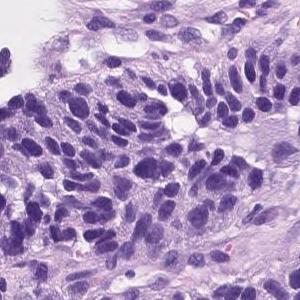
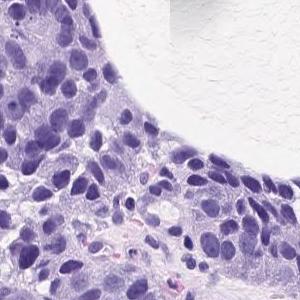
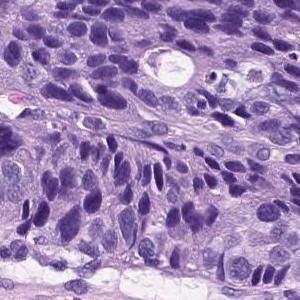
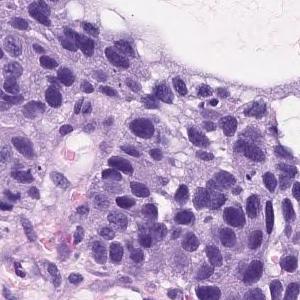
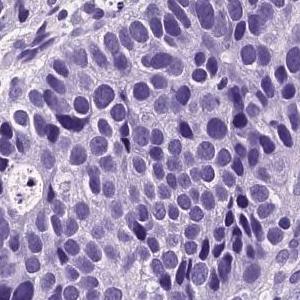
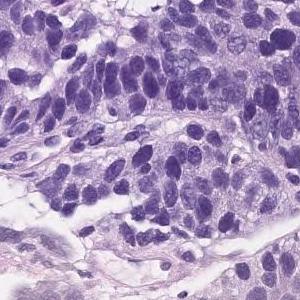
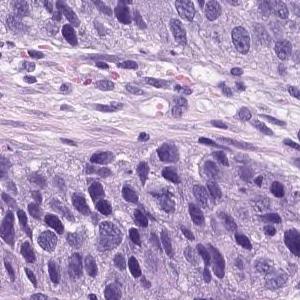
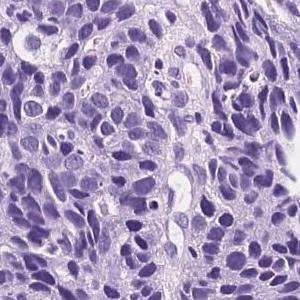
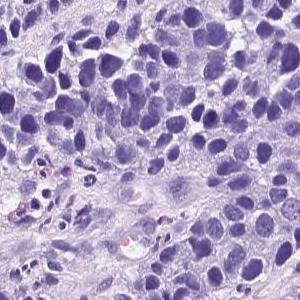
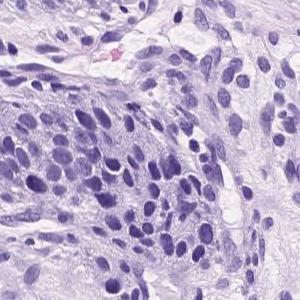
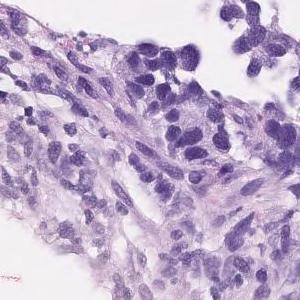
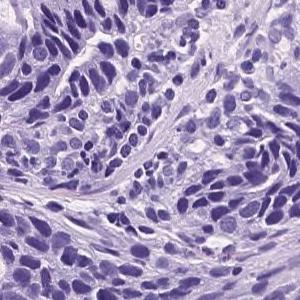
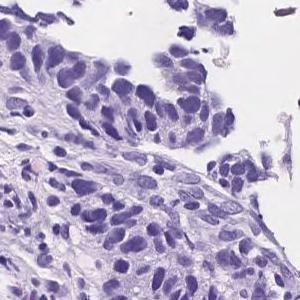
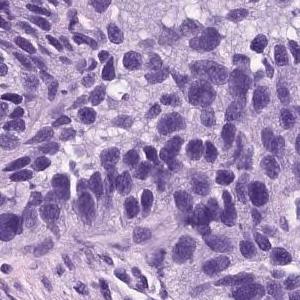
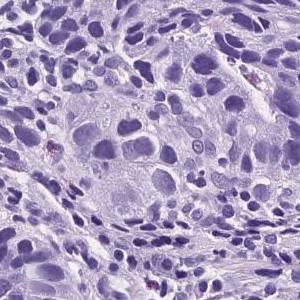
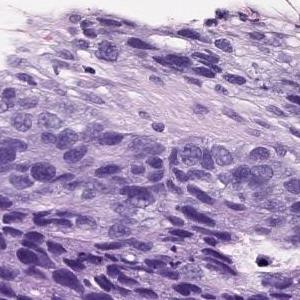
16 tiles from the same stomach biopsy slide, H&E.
Report on the slide these tiles come from. The report describes the whole slide, diagnosis included: not every finding it names need appear in these tiles, which may also show non-tumor tissue.
Atypical cells with atypical nuclei forming small irregular atypical ducts and growing in a conformative manner. moderately differentiated tubular adenocarcinoma
The dataset labels this slide moderately to poorly differentiated adenocarcinoma.
